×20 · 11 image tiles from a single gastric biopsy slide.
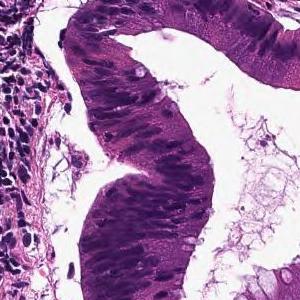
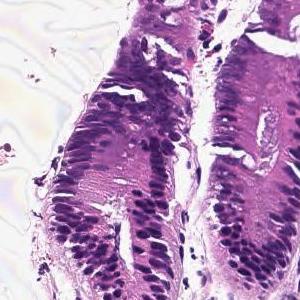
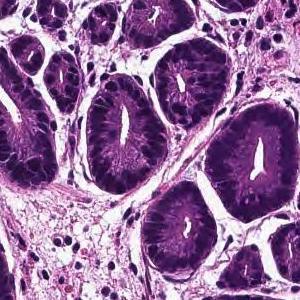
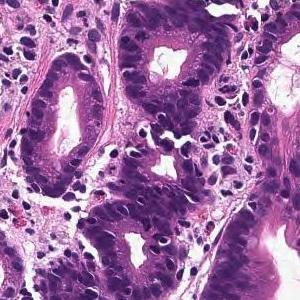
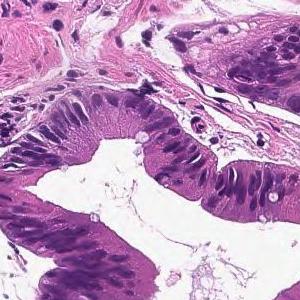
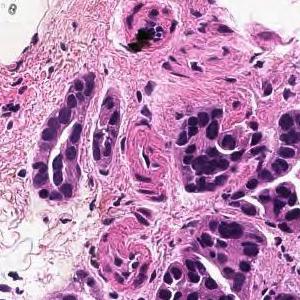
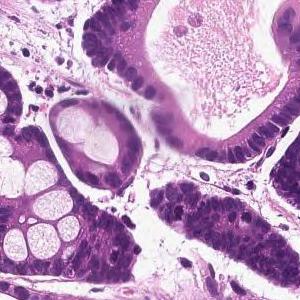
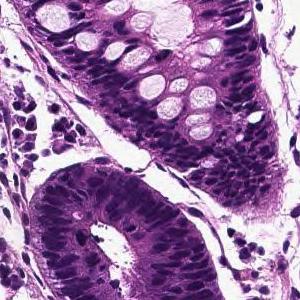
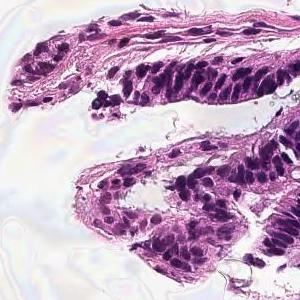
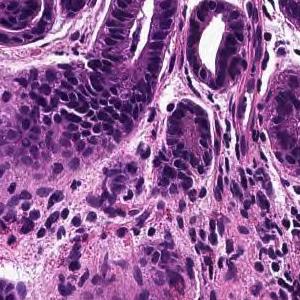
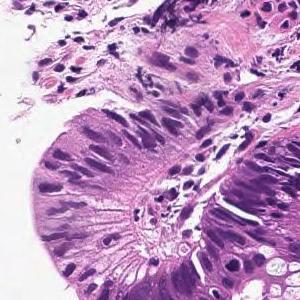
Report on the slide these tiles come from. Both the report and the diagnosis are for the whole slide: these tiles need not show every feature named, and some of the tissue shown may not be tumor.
From the superficial epithelium to the muscularis mucosae, tumor tissue consisting of medium-sized and irregular glandular ducts infiltrating is observed. Well differentiated tubular adenocarcinoma
